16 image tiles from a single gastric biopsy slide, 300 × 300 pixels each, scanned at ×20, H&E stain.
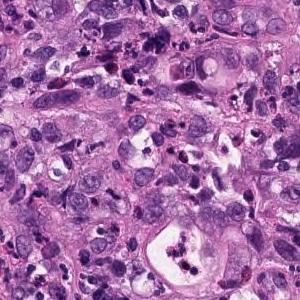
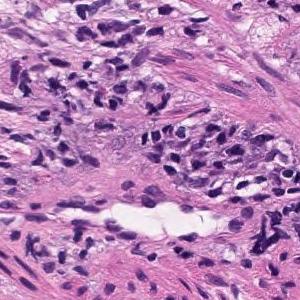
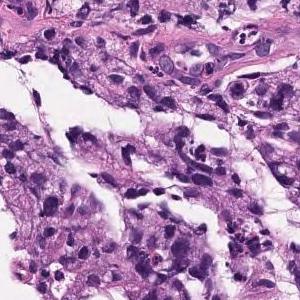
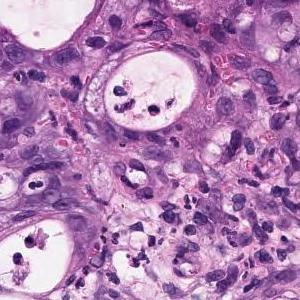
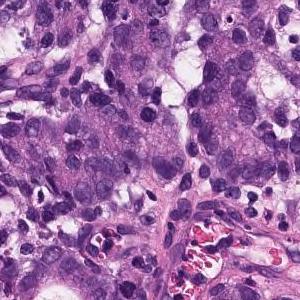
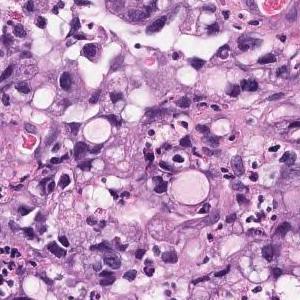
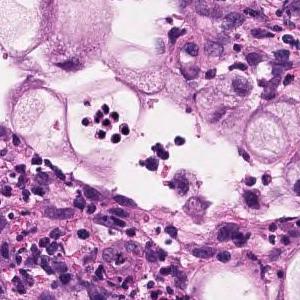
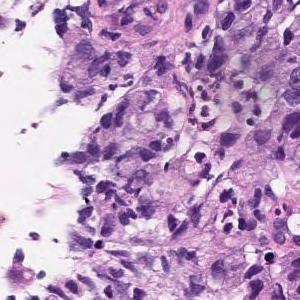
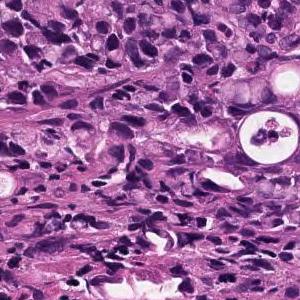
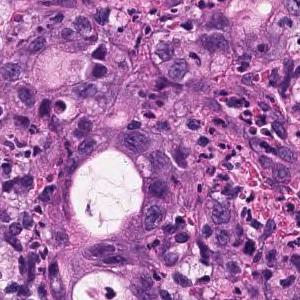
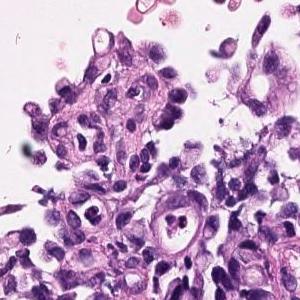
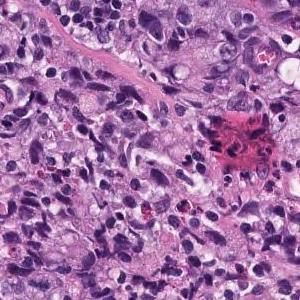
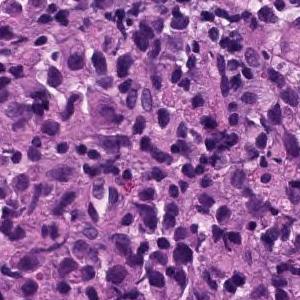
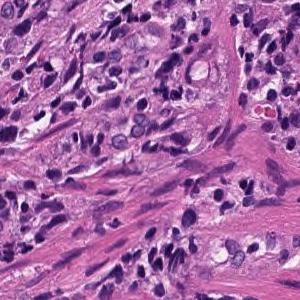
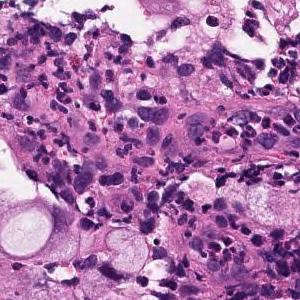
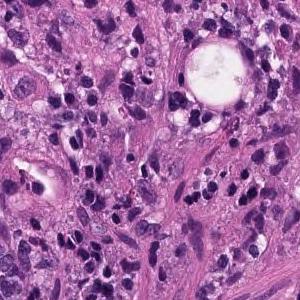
Pathology report for the slide these tiles were cut from. The report and the diagnosis describe the slide as a whole, so these tiles may not show every feature named and may include non-tumor tissue.
Atypical epithelium forms irregularly fused gland ducts and proliferates. Poorly differentiated adenocarcinoma.
Classified as poorly differentiated adenocarcinoma, non-solid type.
"Non-solid type" is a category of the Japanese Classification of Gastric Carcinoma.
